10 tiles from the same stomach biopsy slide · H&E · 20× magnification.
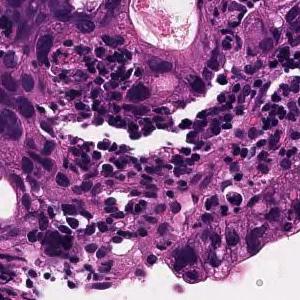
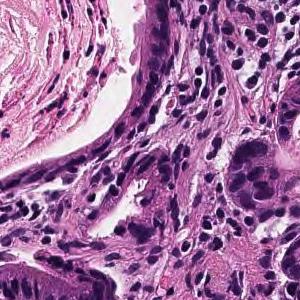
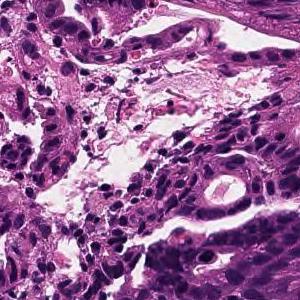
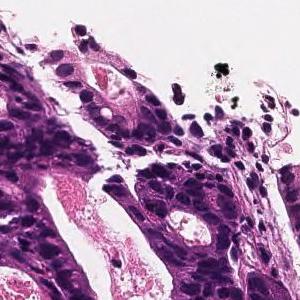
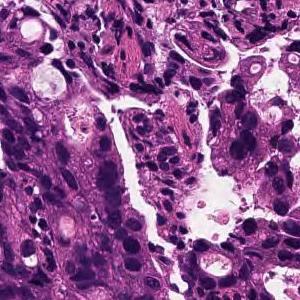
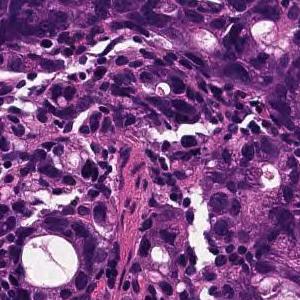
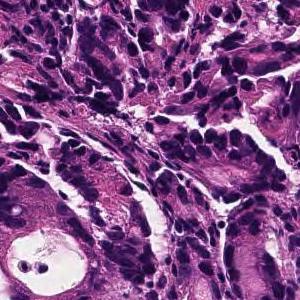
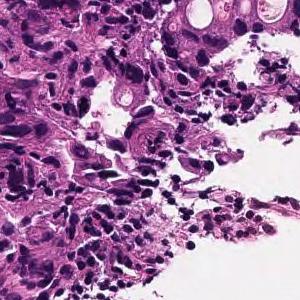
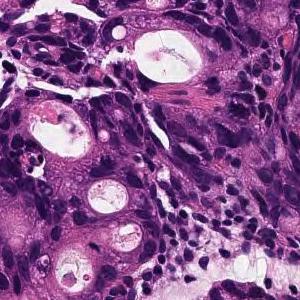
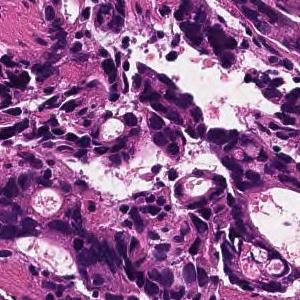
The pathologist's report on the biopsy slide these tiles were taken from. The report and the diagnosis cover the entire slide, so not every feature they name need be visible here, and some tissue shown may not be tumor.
In the superficial epithelium, tumor tissue that invades by forming medium-sized to small, irregular ducts is observed. moderately differentiated tubular adenocarcinoma.
